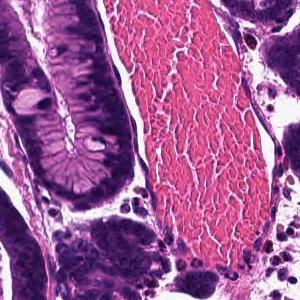
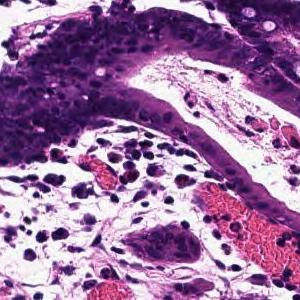
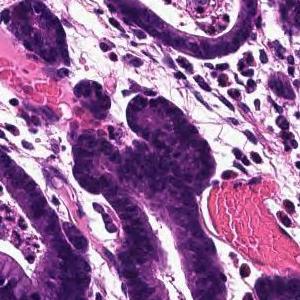
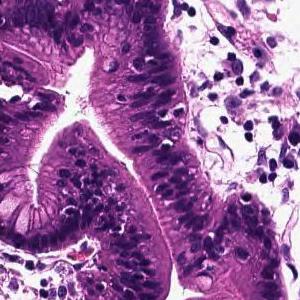
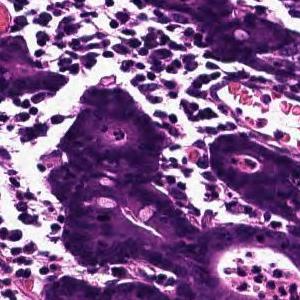
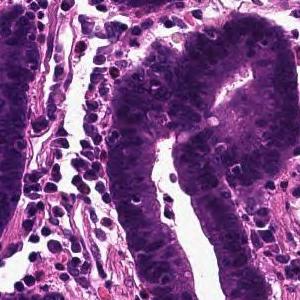
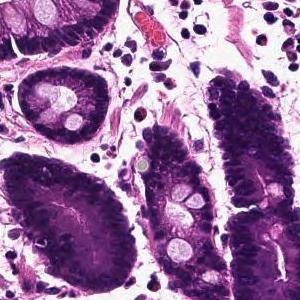
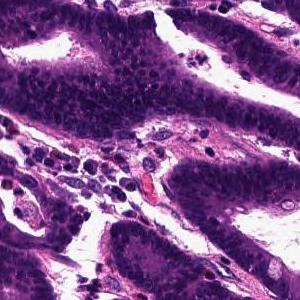
Scanned at ×20 · H&E stain · 8 tiles from the same stomach biopsy slide.
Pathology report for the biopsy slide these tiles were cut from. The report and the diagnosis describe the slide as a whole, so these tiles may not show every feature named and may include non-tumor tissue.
Tumor tissue that infiltrates by forming large papillary or large irregular glandular ducts is observed confined to the mucosa. Papillary adenocarcinoma
